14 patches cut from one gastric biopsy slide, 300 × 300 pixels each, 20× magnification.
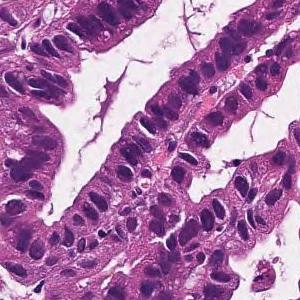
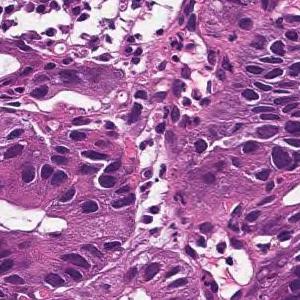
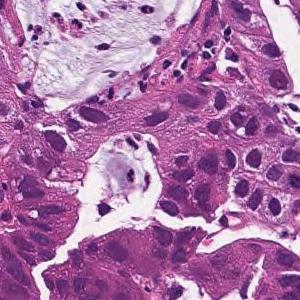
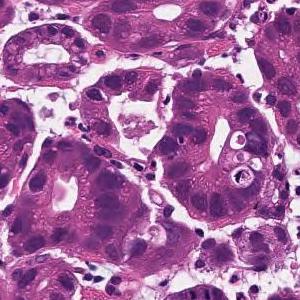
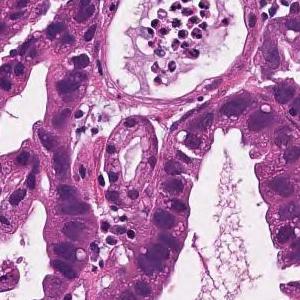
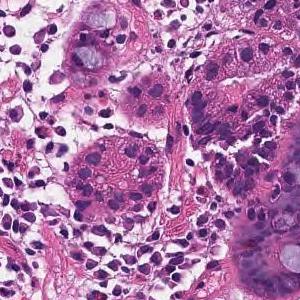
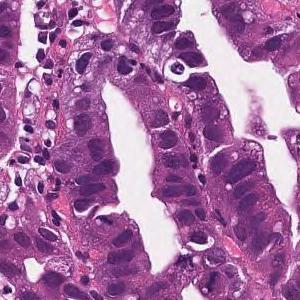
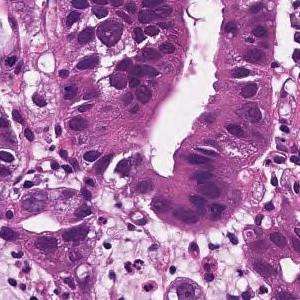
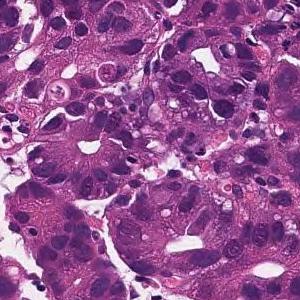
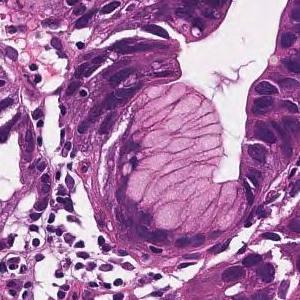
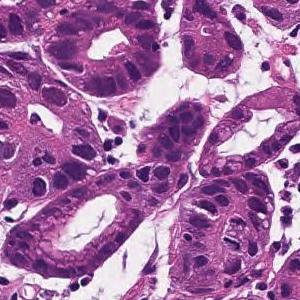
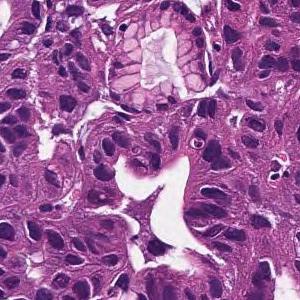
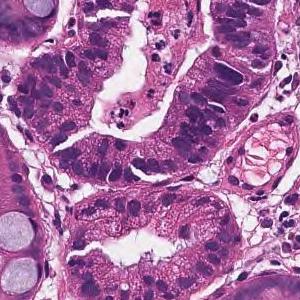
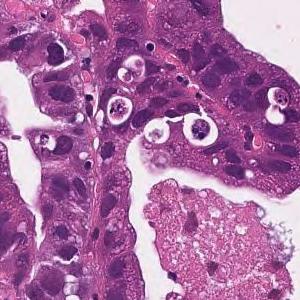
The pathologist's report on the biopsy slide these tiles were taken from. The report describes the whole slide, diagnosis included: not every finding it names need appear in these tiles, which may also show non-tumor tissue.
In the superficial epithelium, tumor tissue that invades by forming medium-sized to small, irregular ducts is observed. moderately differentiated tubular adenocarcinoma.
